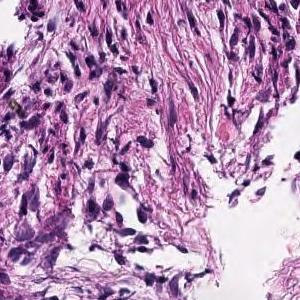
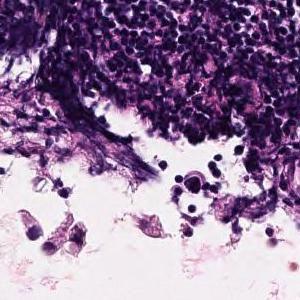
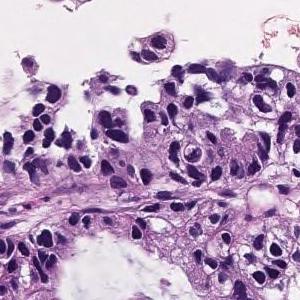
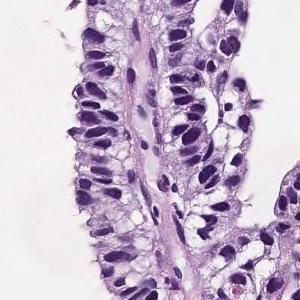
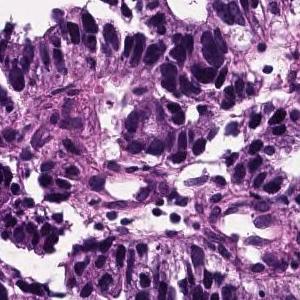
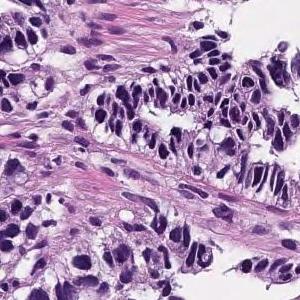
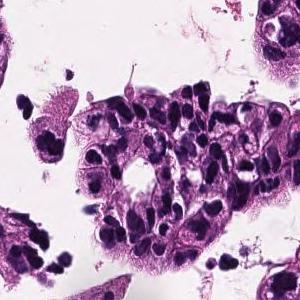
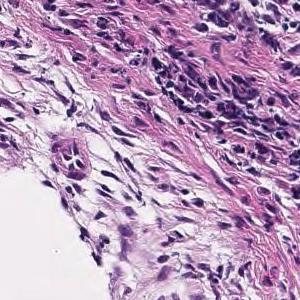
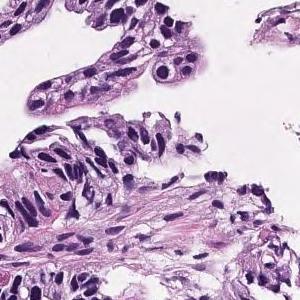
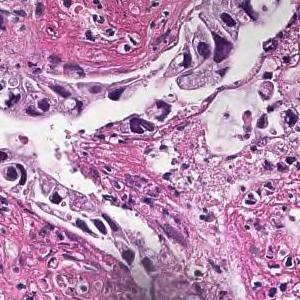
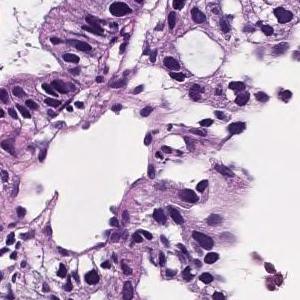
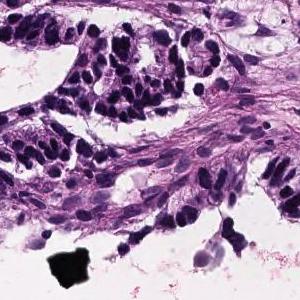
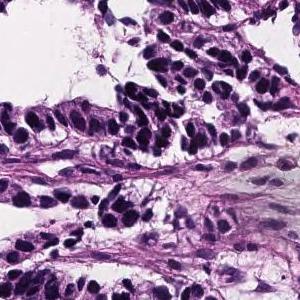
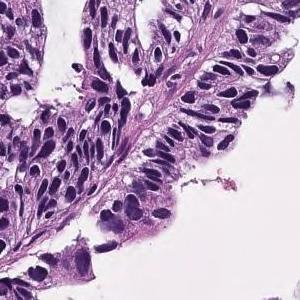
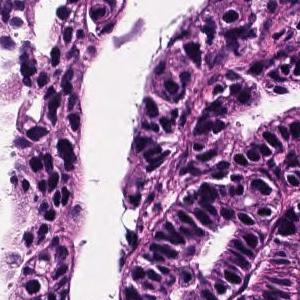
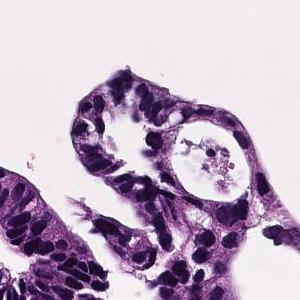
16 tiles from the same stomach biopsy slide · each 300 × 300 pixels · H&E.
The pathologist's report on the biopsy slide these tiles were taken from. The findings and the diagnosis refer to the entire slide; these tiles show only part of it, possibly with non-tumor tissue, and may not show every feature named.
Tumor cells are large, highly columnar, large club-shaped nuclei, and are associated with chromatin aggregation. Papillary adenocarcinoma.
